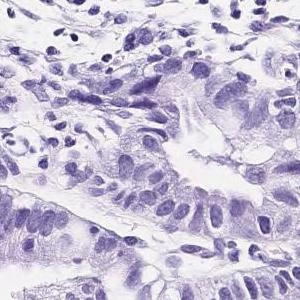
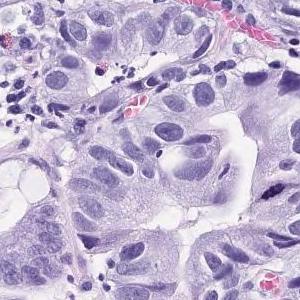
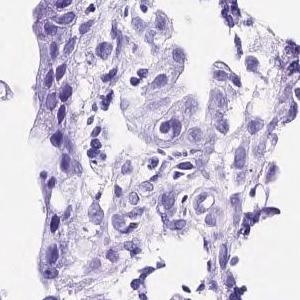
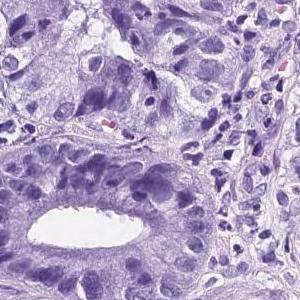
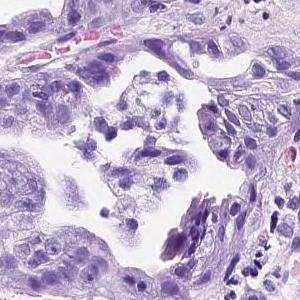
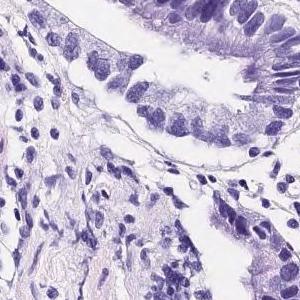
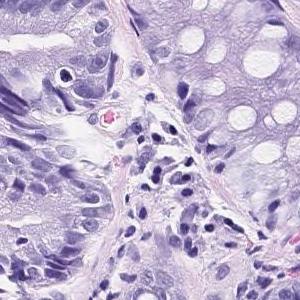
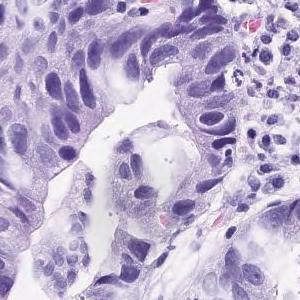
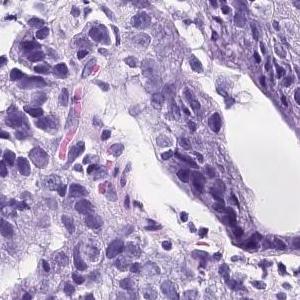
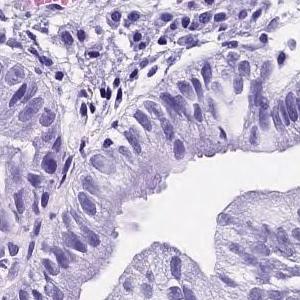
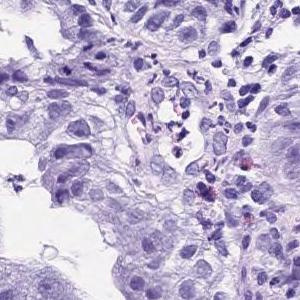
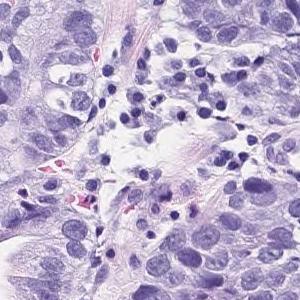
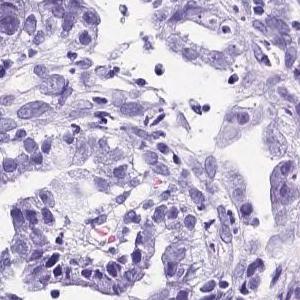
13 tiles from the same stomach biopsy slide, ×20.
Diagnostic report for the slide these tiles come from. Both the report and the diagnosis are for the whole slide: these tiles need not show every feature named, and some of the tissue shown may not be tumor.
Tumor tissue consisting of medium-sized and irregular ducts is observed infiltrating in the superficial epithelium. Tumor cells are highly columnar, with nuclei aligned basolaterally and polarized. Well differentiated tubular adenocarcinoma.
